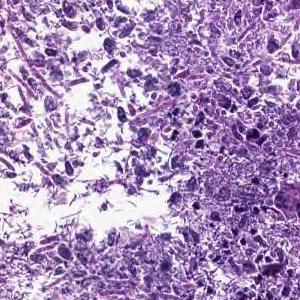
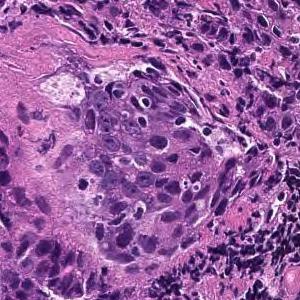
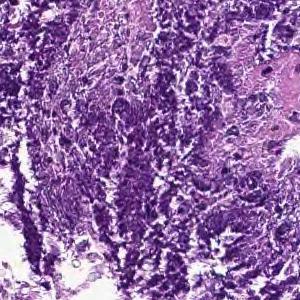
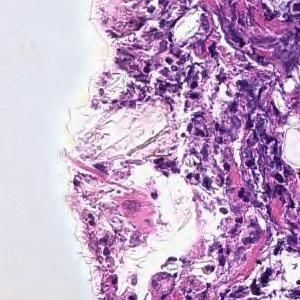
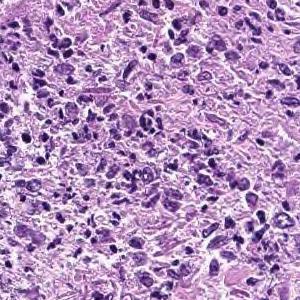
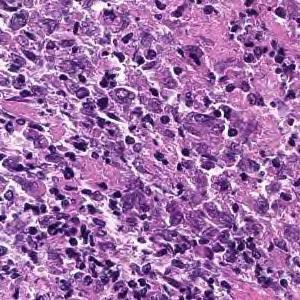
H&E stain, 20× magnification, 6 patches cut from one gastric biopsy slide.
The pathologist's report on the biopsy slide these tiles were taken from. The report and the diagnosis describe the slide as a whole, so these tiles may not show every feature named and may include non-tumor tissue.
Cancers with polygonal nuclei do not show glandular formation and are densely, in part, cord-like and proliferate. Poorly differentiated adenocarcinoma
Histological subtype: Poorly differentiated adenocarcinoma, non-solid type.
The non-solid type named here is a Japanese Classification of Gastric Carcinoma category.
